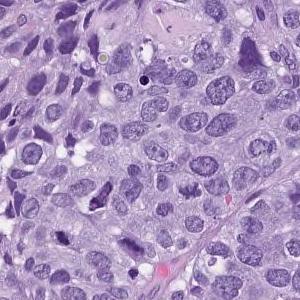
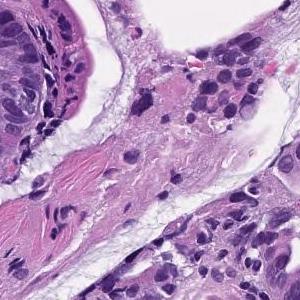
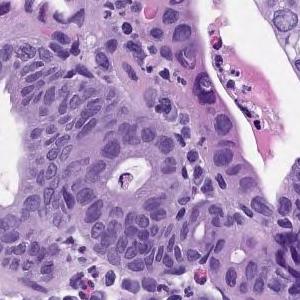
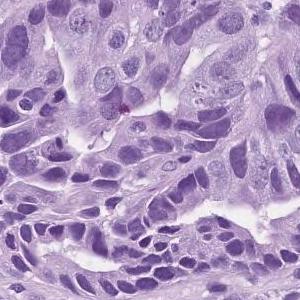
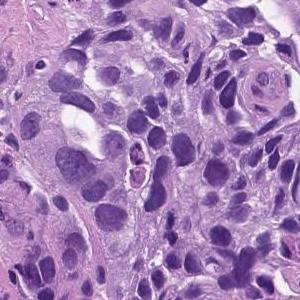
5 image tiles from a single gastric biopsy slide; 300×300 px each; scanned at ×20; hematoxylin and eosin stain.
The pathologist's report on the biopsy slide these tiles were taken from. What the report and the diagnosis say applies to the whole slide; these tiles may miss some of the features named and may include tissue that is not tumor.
In the superficial epithelium, tumor tissue that invades by forming medium-sized to small, irregular ducts is observed. moderately differentiated tubular adenocarcinoma.
